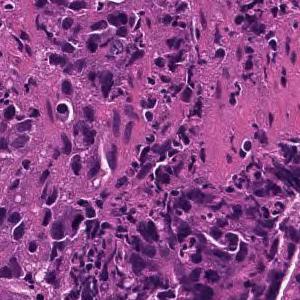
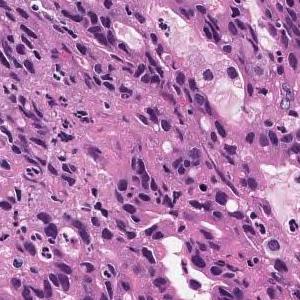
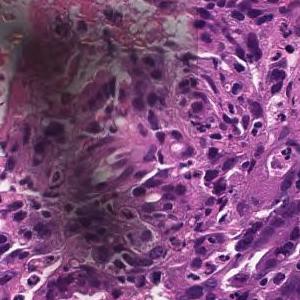
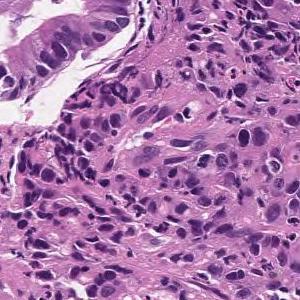
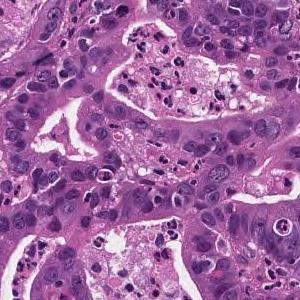
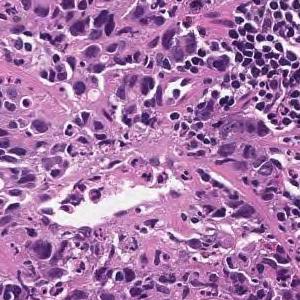
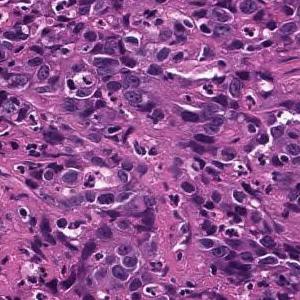
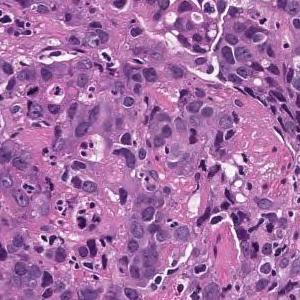
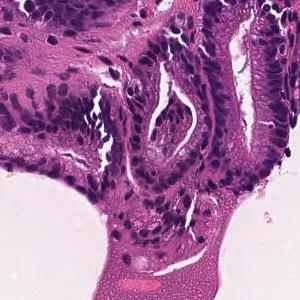
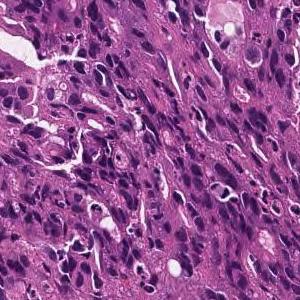
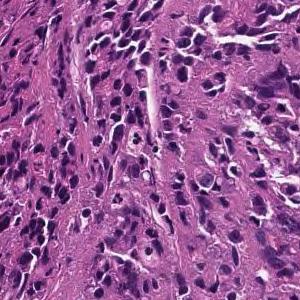
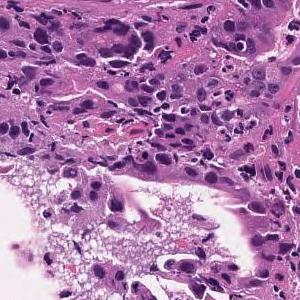
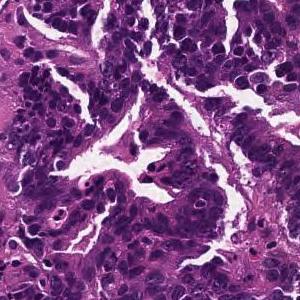
Scanned at ×20; H&E stain; 13 patches cut from one gastric biopsy slide; 300 × 300 pixels each.
Report on the slide these tiles come from. The report and the diagnosis describe the slide as a whole, so these tiles may not show every feature named and may include non-tumor tissue.
In the superficial epithelium, tumor tissue that invades by forming medium-sized to small, irregular ducts is observed. moderately differentiated tubular adenocarcinoma.
